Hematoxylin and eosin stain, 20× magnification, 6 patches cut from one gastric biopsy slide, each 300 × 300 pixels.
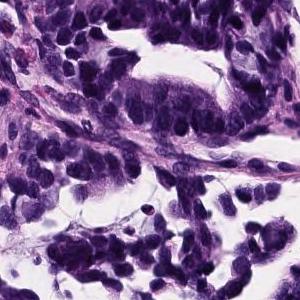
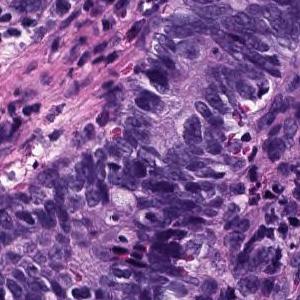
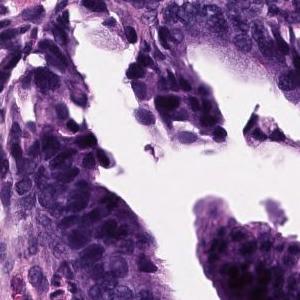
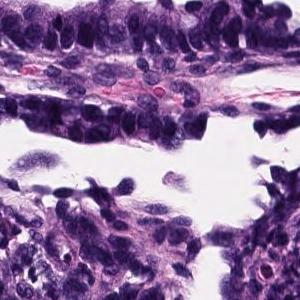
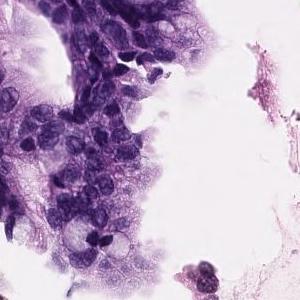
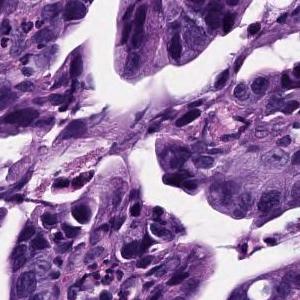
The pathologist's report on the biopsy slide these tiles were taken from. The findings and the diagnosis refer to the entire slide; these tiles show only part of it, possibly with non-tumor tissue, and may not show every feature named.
Atypical epithelium proliferating showing villus construction and irregular gland duct construction is observed. Moderately differentiated tubular adenocarcinoma.
